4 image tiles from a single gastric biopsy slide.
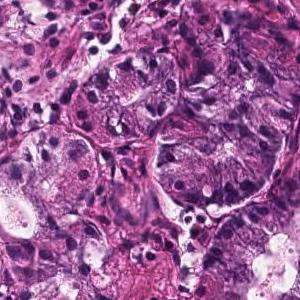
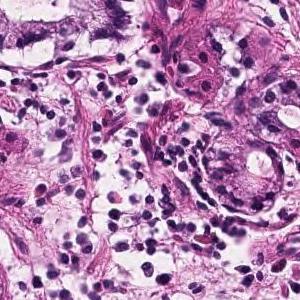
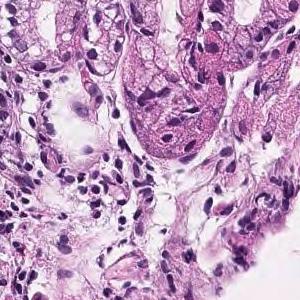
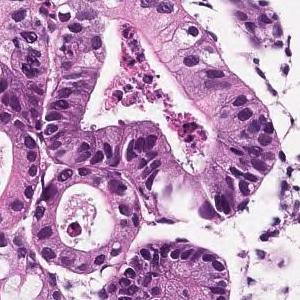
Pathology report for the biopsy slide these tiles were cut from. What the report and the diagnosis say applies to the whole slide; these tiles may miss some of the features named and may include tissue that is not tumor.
Tumor tissue in which medium to small irregular ducts infiltrate and proliferate in the submucosa can be seen in the epithelium. Well differentiated tubular adenocarcinoma
